H&E, 20× magnification, 6 tiles cut from one stomach biopsy slide.
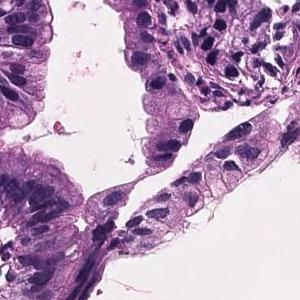
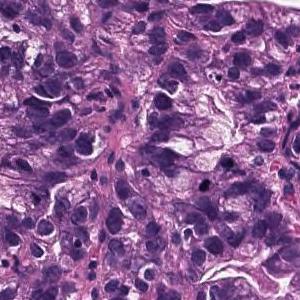
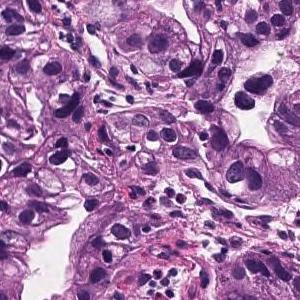
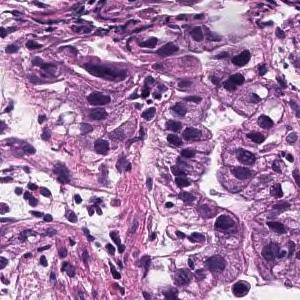
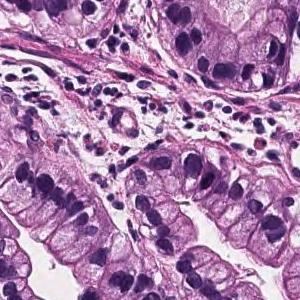
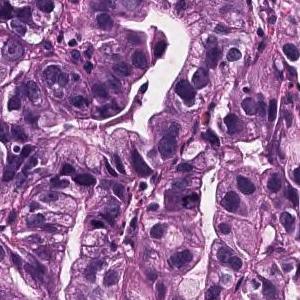
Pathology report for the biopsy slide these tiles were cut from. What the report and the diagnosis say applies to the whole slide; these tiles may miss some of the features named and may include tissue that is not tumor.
Tumor cells are large, highly columnar, large club-shaped nuclei, and are associated with chromatin aggregation. Papillary adenocarcinoma.
